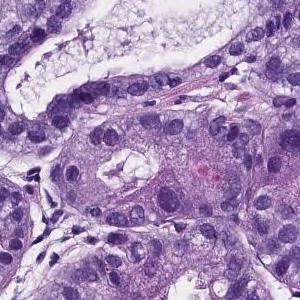
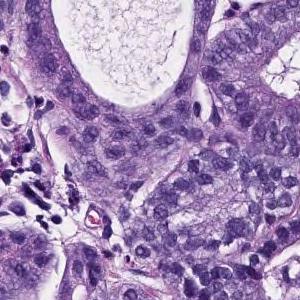
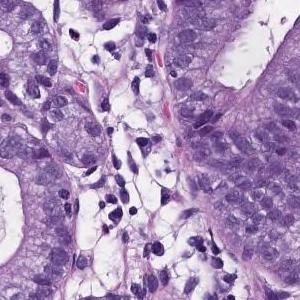
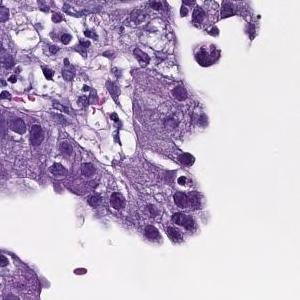
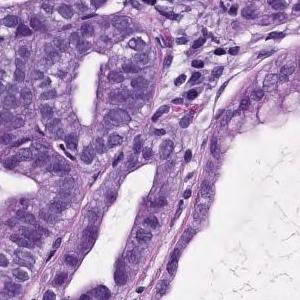
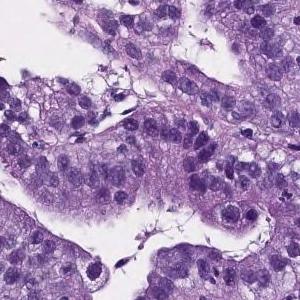
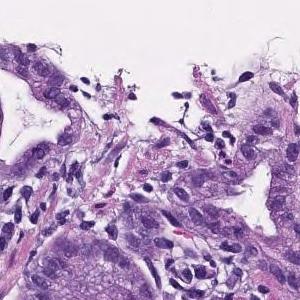
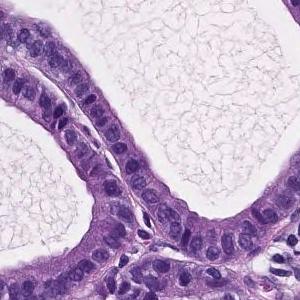
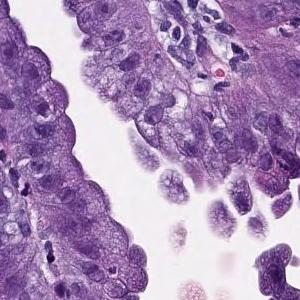
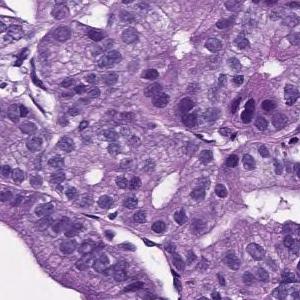
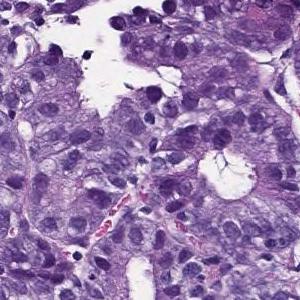
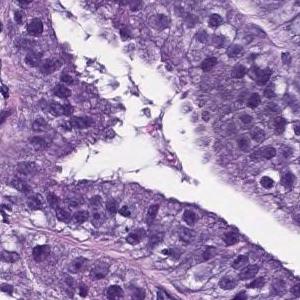
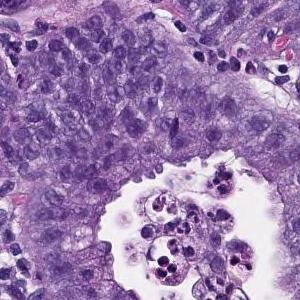
13 tiles from the same stomach biopsy slide, 300×300 px each, 20× magnification, H&E stain.
The pathologist's report on the biopsy slide these tiles were taken from. The findings and the diagnosis refer to the entire slide; these tiles show only part of it, possibly with non-tumor tissue, and may not show every feature named.
On the superficial epithelium, tumor tissue that infiltrates by forming medium-sized papillary or small irregular ducts is observed. Papillary adenocarcinoma
